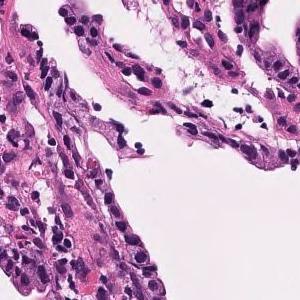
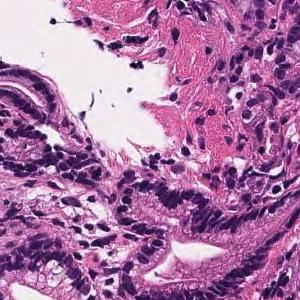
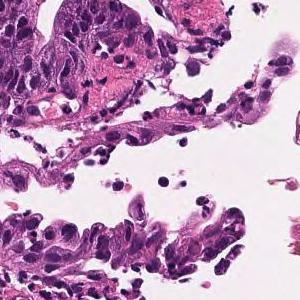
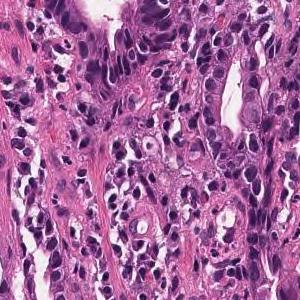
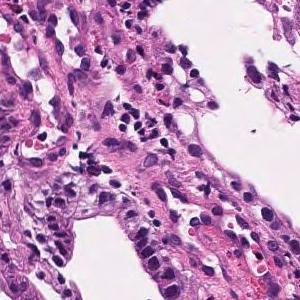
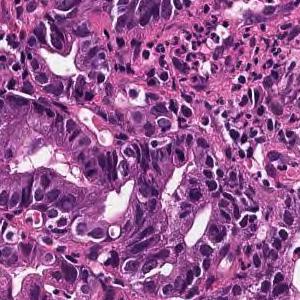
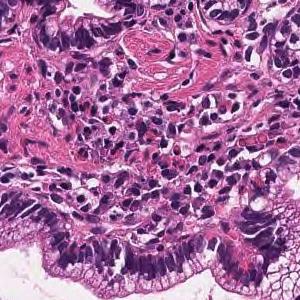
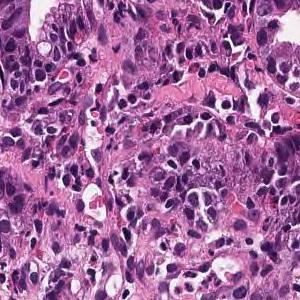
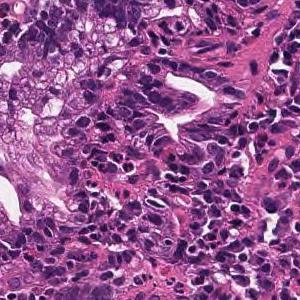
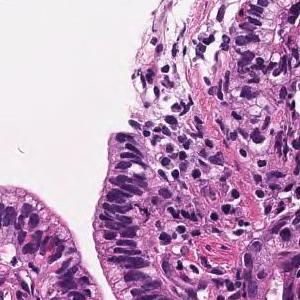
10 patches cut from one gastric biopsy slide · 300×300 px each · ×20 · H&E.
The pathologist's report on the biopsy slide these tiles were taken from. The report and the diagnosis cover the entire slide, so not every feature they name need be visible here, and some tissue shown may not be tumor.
Tumor tissue in which medium to small irregular ducts infiltrate and proliferate in the submucosa can be seen in the epithelium. Well differentiated tubular adenocarcinoma
